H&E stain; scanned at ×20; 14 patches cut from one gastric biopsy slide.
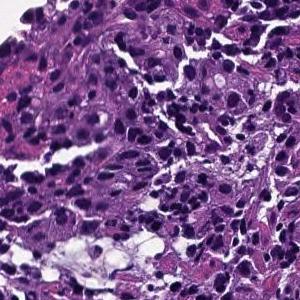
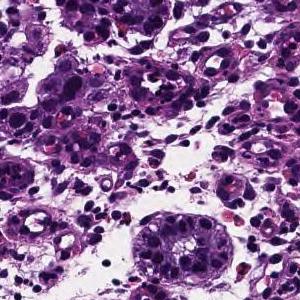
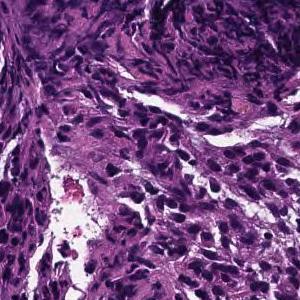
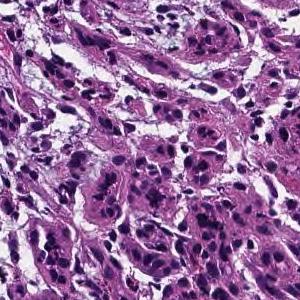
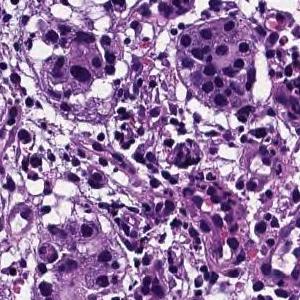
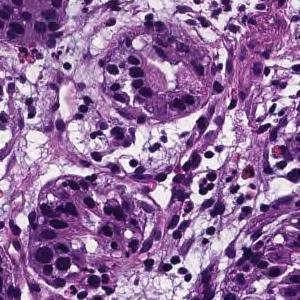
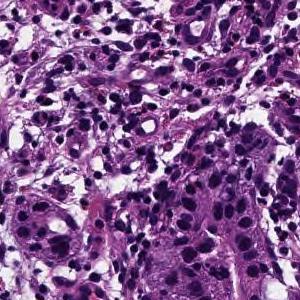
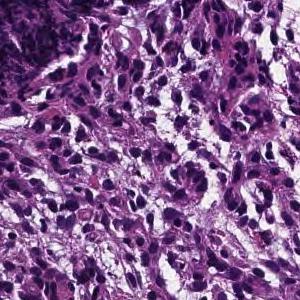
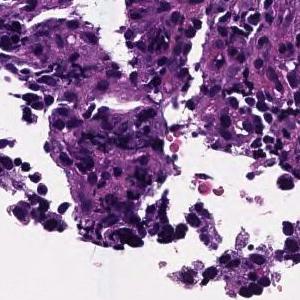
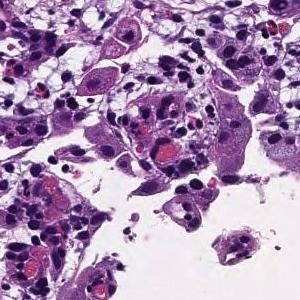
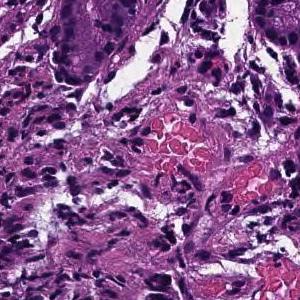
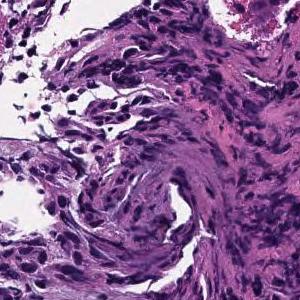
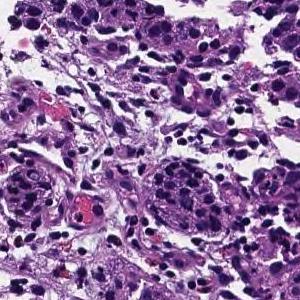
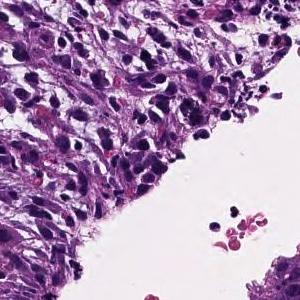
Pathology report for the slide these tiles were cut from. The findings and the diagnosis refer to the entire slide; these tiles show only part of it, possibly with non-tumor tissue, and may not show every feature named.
Tumor tissue consisting of cord-like or small, irregular glandular ducts fused and infiltrated is observed in the superficial epithelium. Poorly differentiated adenocarcinoma, non-solid type
The term "non-solid type" comes from the Japanese Classification of Gastric Carcinoma.
